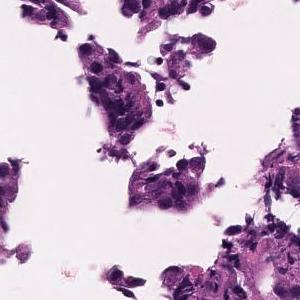
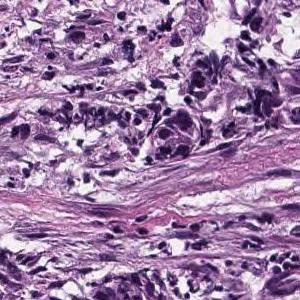
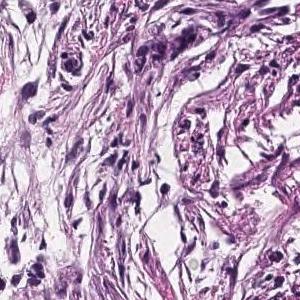
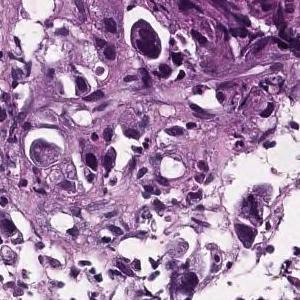
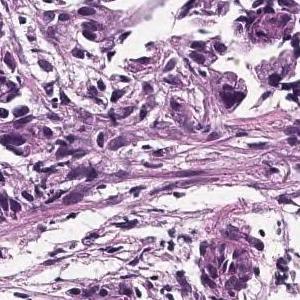
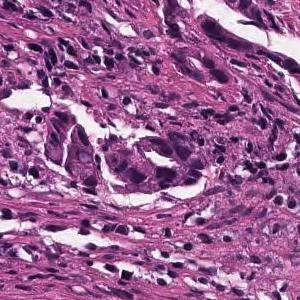
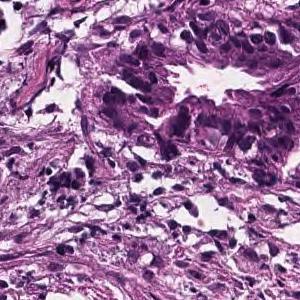
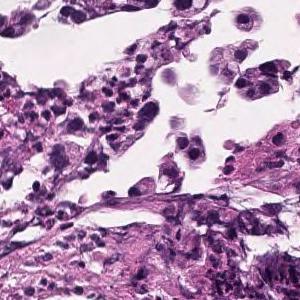
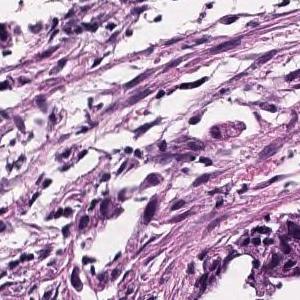
H&E stain · 20× magnification · 9 tiles cut from one stomach biopsy slide.
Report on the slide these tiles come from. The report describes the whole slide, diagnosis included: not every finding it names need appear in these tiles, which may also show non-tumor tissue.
In the superficial epithelium, tumor tissue that invades by forming medium-sized to small, irregular ducts is observed. moderately differentiated tubular adenocarcinoma.
